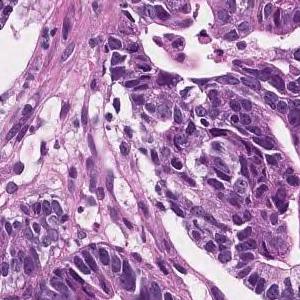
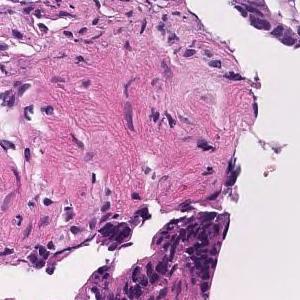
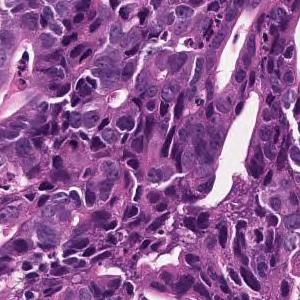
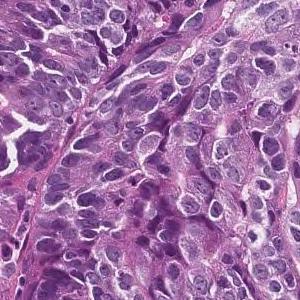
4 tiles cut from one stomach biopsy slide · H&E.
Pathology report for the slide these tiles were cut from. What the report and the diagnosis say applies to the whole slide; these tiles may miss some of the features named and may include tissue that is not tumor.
In the superficial epithelium, tumor tissue that invades by forming medium-sized to small, irregular ducts is observed. moderately differentiated tubular adenocarcinoma.
